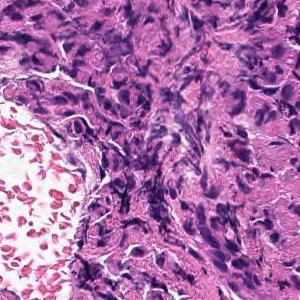
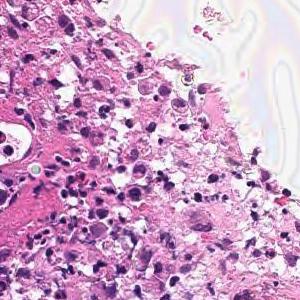
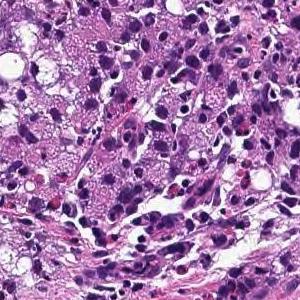
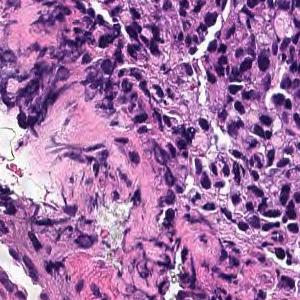
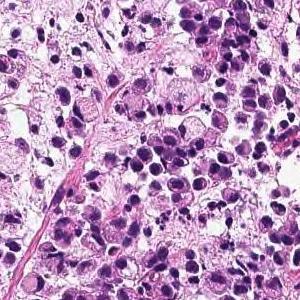
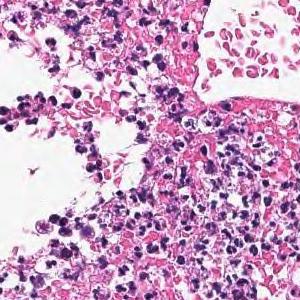
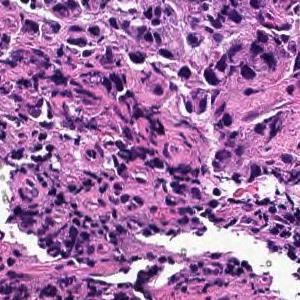
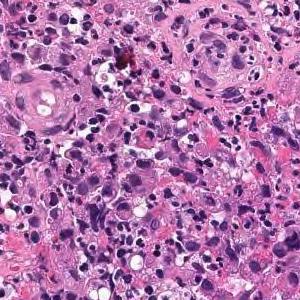
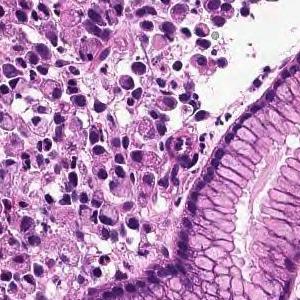
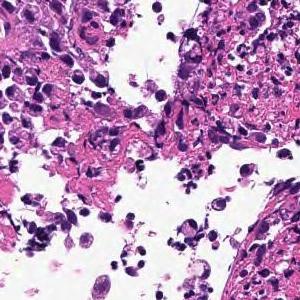
10 image tiles from a single gastric biopsy slide · 300×300 px each · hematoxylin and eosin stain.
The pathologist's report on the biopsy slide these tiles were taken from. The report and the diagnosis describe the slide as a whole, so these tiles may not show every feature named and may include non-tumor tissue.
Tumor tissue consisting of diffusely infiltrated large atypical epithelial cells or signet ring atypical cells is observed in the superficial epithelium. Poorly differentiated adenocarcinoma, solid-type
Histologic type: Poorly differentiated adenocarcinoma, solid type (Japanese Classification of Gastric Carcinoma). The WHO 2019 equivalent is tubular adenocarcinoma, poorly differentiated.
